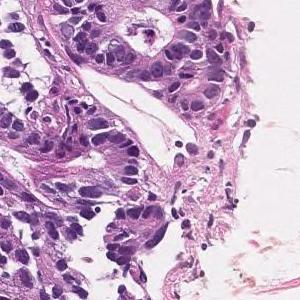
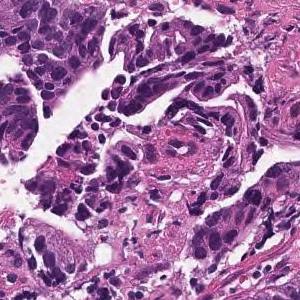
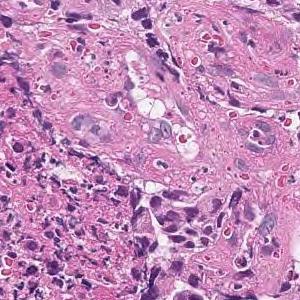
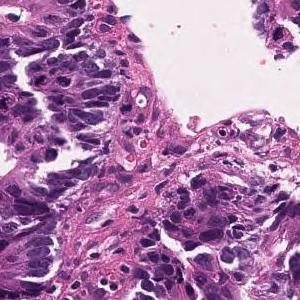
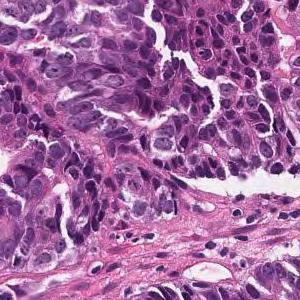
5 tiles cut from one stomach biopsy slide · each 300 × 300 pixels · H&E.
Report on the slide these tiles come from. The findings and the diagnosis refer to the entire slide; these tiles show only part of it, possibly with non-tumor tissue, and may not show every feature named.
In the superficial epithelium, tumor tissue that invades by forming medium-sized to small, irregular ducts is observed. moderately differentiated tubular adenocarcinoma.
